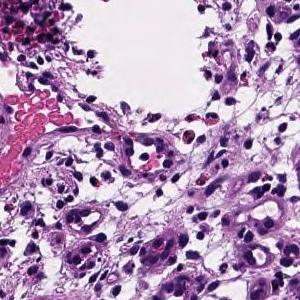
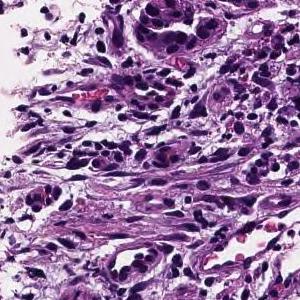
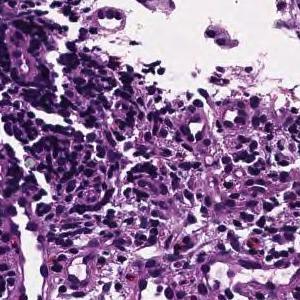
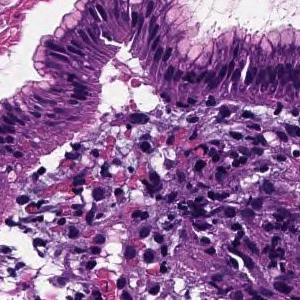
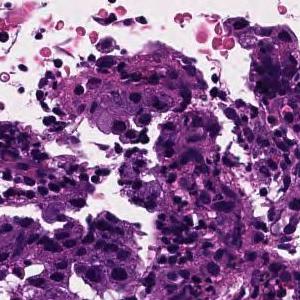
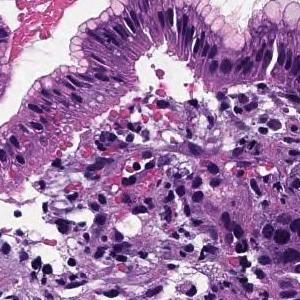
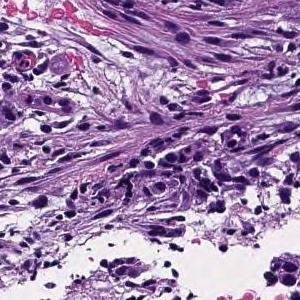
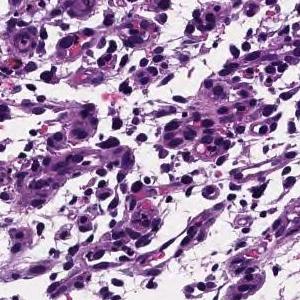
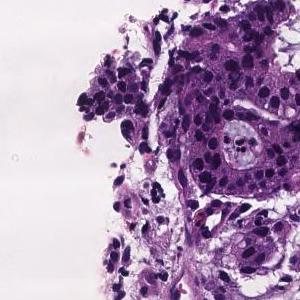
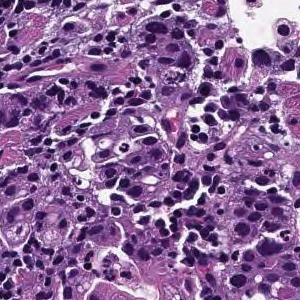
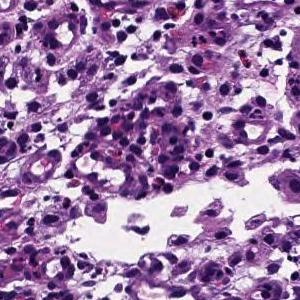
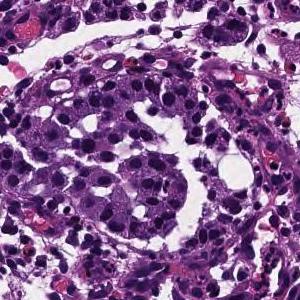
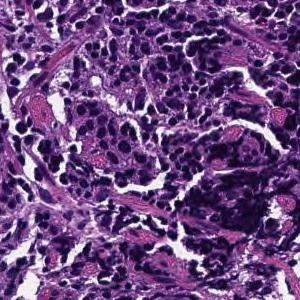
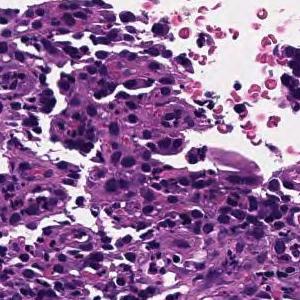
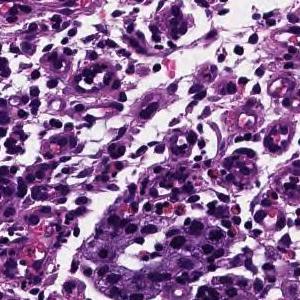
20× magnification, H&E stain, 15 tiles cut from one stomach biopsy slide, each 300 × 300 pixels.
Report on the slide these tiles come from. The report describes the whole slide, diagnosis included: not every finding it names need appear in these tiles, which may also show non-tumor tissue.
Tumor tissue consisting of cord-like or small, irregular glandular ducts fused and infiltrated is observed in the superficial epithelium. Poorly differentiated adenocarcinoma, non-solid type
"Non-solid type" is a category of the Japanese Classification of Gastric Carcinoma.
